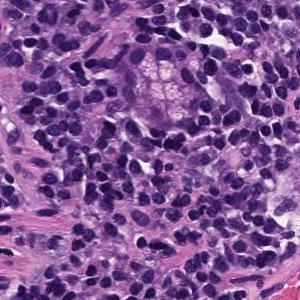
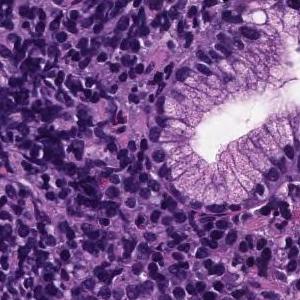
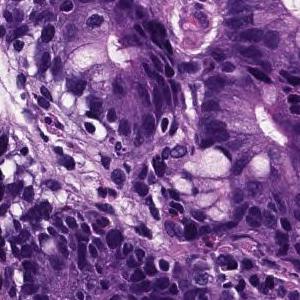
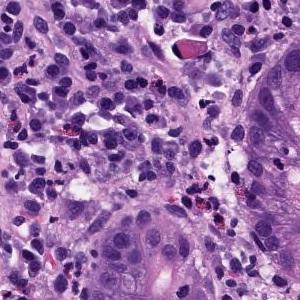
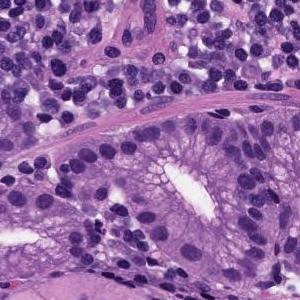
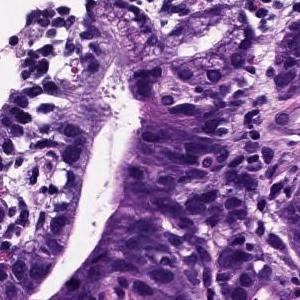
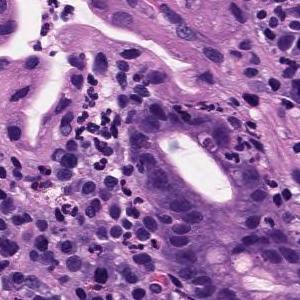
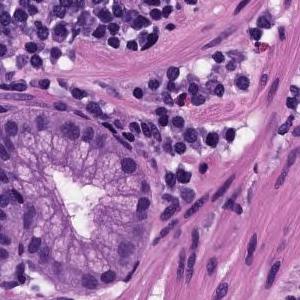
8 tiles from the same stomach biopsy slide, scanned at ×20.
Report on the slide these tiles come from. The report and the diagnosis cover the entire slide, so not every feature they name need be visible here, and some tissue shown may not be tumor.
Medium to small, irregular glandular ducts are formed in the superficial epithelium, and in some cases, the glandular ducts are fused to show solid alveolar lesions and infiltrating tumor tissue is observed. Moderately to poorly differentiated adenocarcinoma.
